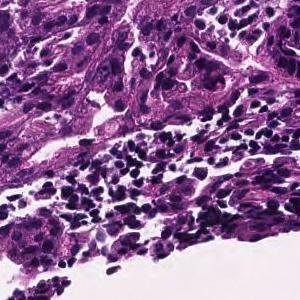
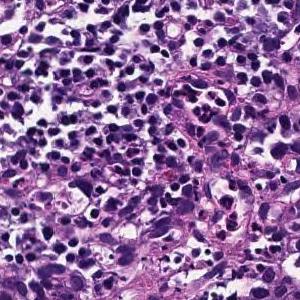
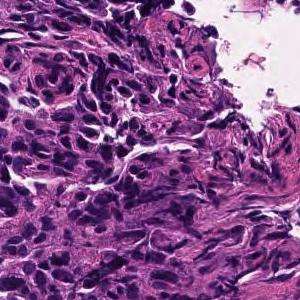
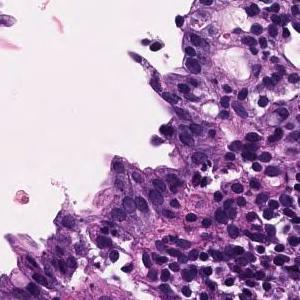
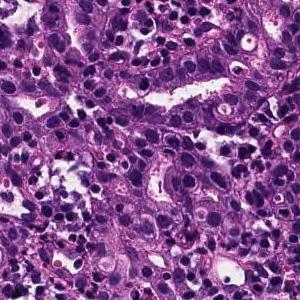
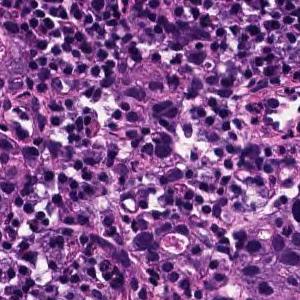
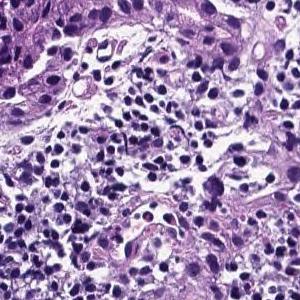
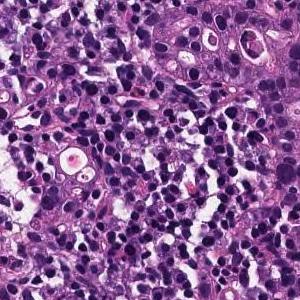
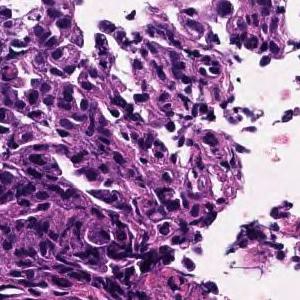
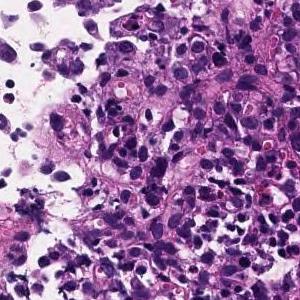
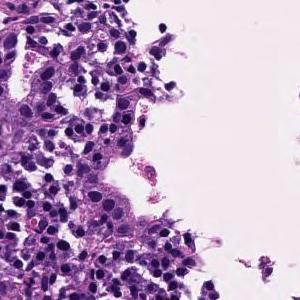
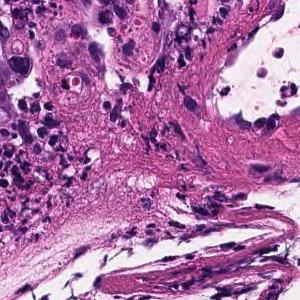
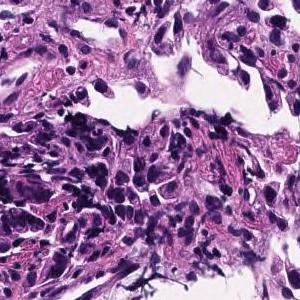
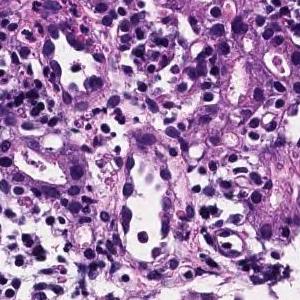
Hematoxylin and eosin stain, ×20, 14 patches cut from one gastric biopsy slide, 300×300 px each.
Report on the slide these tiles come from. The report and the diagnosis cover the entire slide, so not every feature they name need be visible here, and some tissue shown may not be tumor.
Medium to small, irregular glandular ducts are formed in the superficial epithelium, and in some cases, the glandular ducts are fused to show solid alveolar lesions and infiltrating tumor tissue is observed. Moderately to poorly differentiated adenocarcinoma.
